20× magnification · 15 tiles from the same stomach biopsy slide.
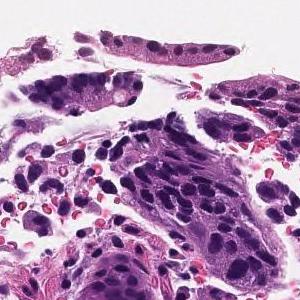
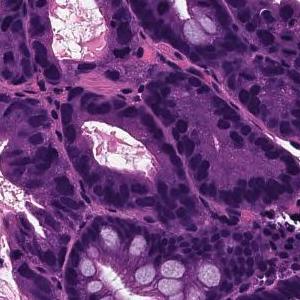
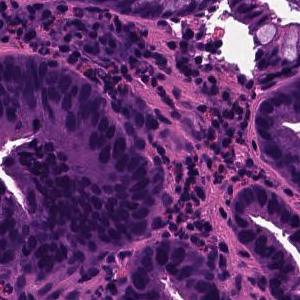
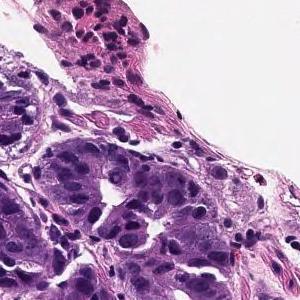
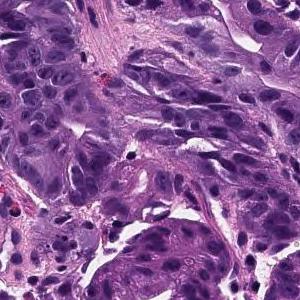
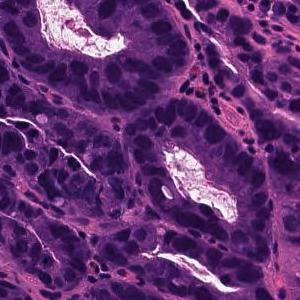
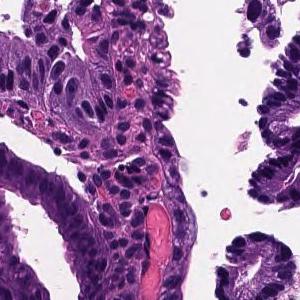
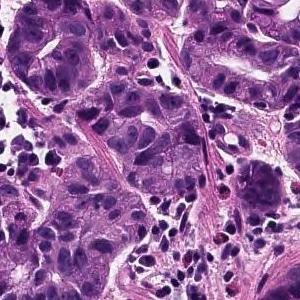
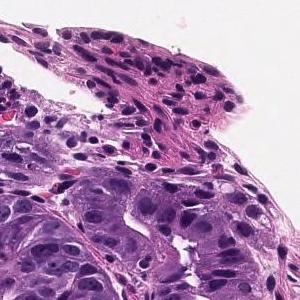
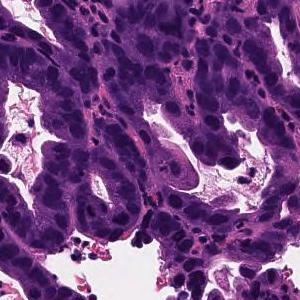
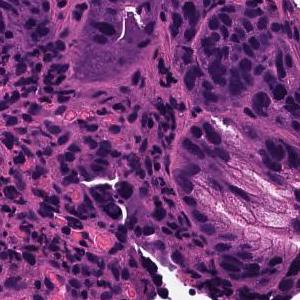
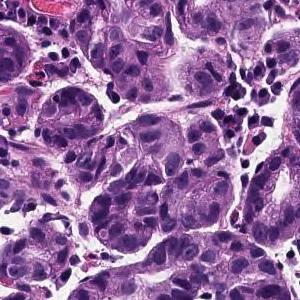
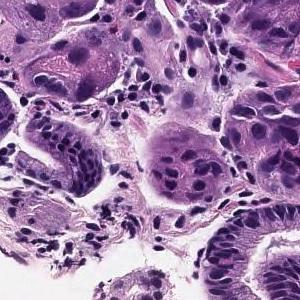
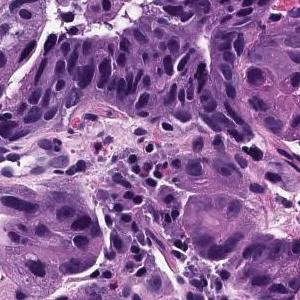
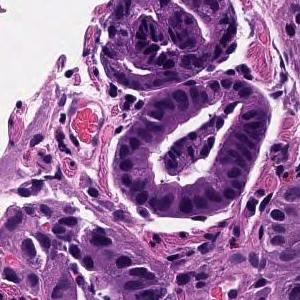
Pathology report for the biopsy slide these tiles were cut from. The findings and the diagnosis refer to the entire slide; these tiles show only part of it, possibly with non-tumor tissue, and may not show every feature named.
On the superficial epithelium, tumor tissue consisting of large irregular glandular ducts partially fused and infiltrated is observed. Well to moderately differentiated tubular adenocarcinoma (well differentiated tubular adenocarcinoma, moderately differentiated tubular adenocarcinoma)
Histologic type: Well to moderately differentiated tubular adenocarcinoma.
